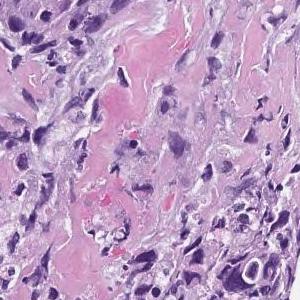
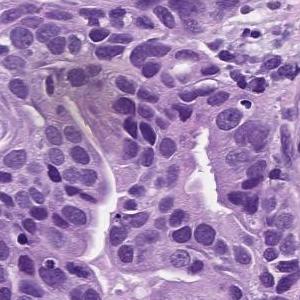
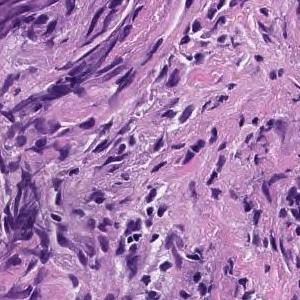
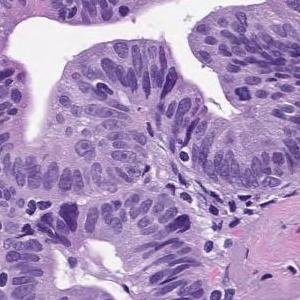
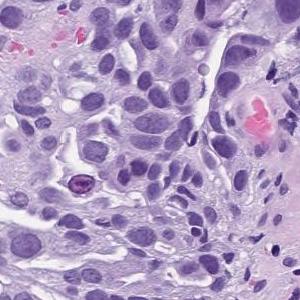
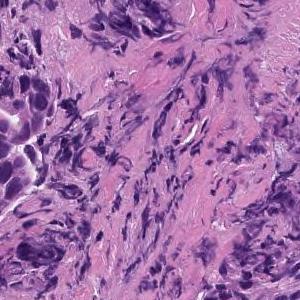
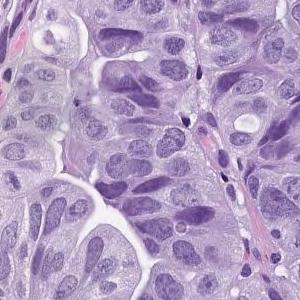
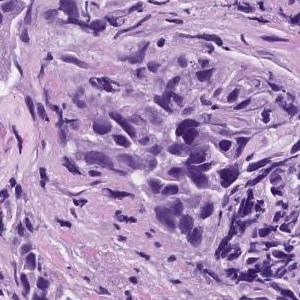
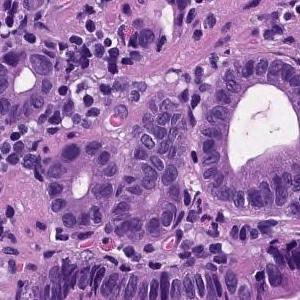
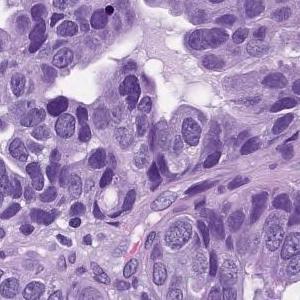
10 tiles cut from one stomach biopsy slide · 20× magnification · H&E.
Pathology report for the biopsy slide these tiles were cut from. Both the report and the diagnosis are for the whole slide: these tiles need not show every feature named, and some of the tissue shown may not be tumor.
In the superficial epithelium, tumor tissue that invades by forming medium-sized to small, irregular ducts is observed. moderately differentiated tubular adenocarcinoma.
